13 image tiles from a single gastric biopsy slide, scanned at ×20, hematoxylin and eosin stain.
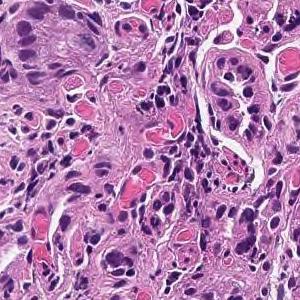
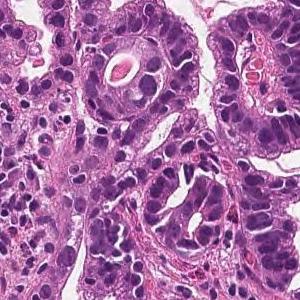
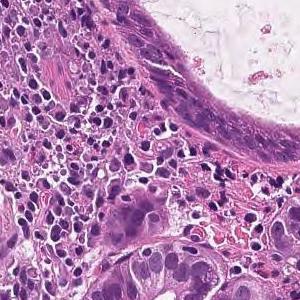
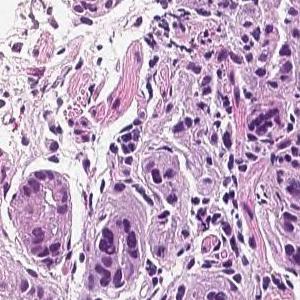
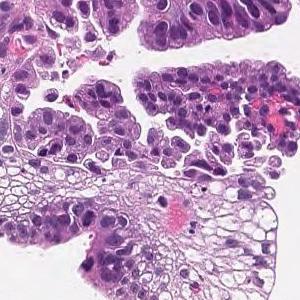
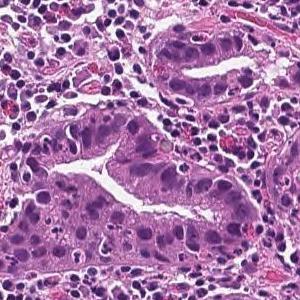
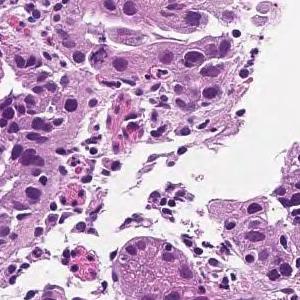
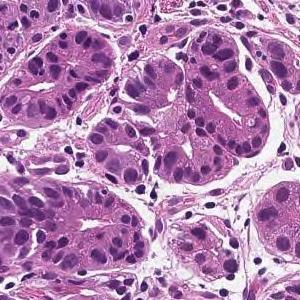
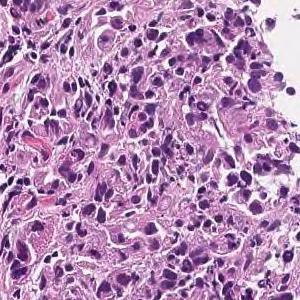
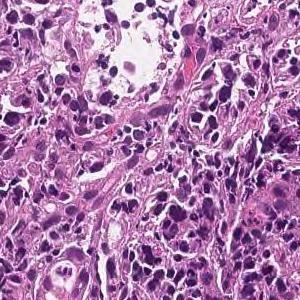
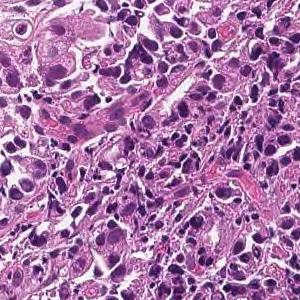
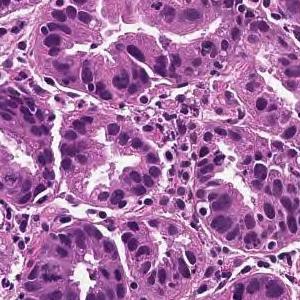
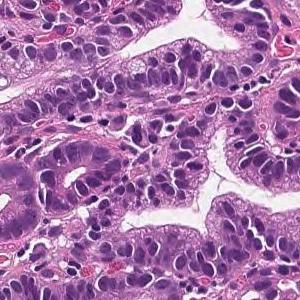
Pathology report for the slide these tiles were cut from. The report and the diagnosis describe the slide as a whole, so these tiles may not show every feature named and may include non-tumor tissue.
On the superficial epithelium, tumor tissue consisting of large irregular glandular ducts partially fused and infiltrated is observed. Well to moderately differentiated tubular adenocarcinoma (well differentiated tubular adenocarcinoma, moderately differentiated tubular adenocarcinoma)
Tumor subtype: well to moderately differentiated tubular adenocarcinoma.
